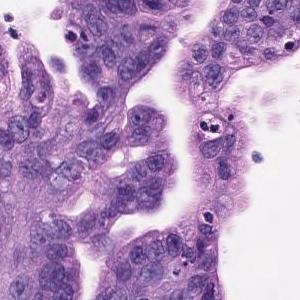
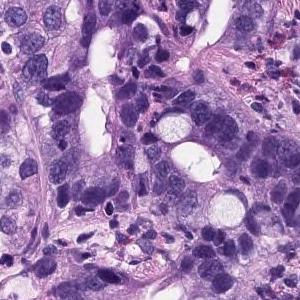
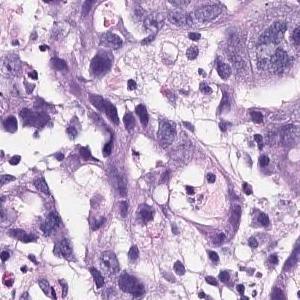
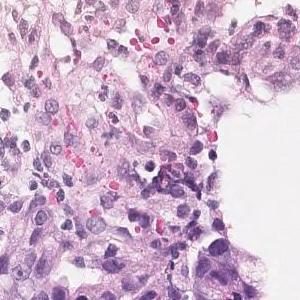
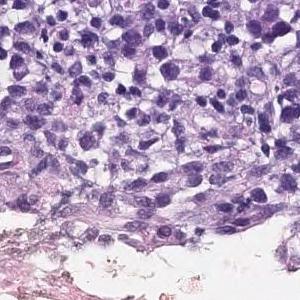
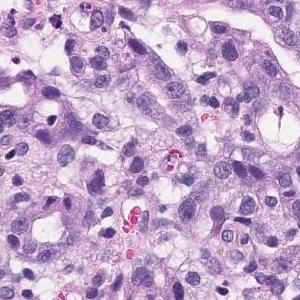
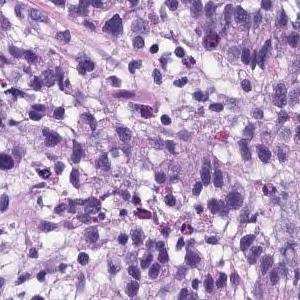
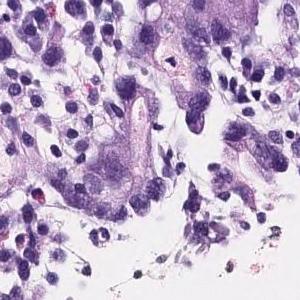
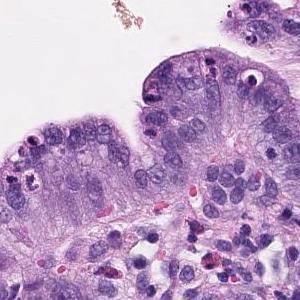
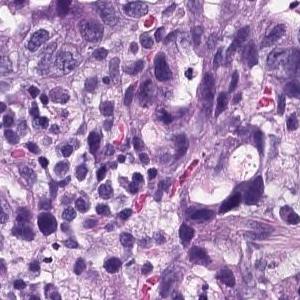
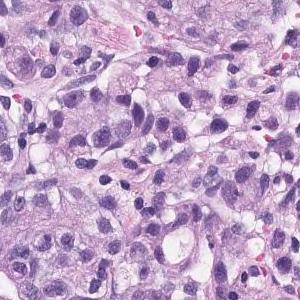
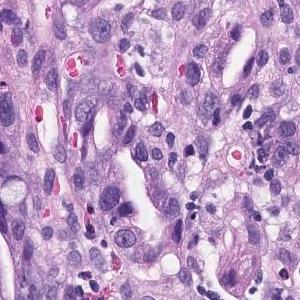
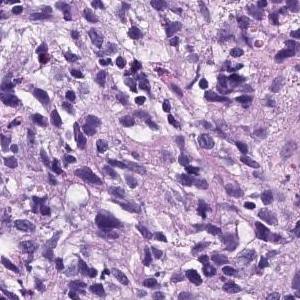
13 tiles cut from one stomach biopsy slide · scanned at ×20 · H&E.
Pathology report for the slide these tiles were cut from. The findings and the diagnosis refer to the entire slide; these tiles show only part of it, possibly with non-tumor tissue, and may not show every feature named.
There are atypical l cells with atypical nuclei forming cord-like or irregular atypical ducts from solidity and proliferating in a comprehensive manner. Poorly differentiated adenocarcinoma, Moderately differentiated adenocarcinoma (poorly differentiated adenocarcinoma, solid type moderately differentiated tubular adenocarcinoma)
Histologic type: Moderately to poorly differentiated adenocarcinoma.
The solid type named here is a Japanese Classification of Gastric Carcinoma category; WHO 2019 calls it tubular adenocarcinoma, poorly differentiated.
